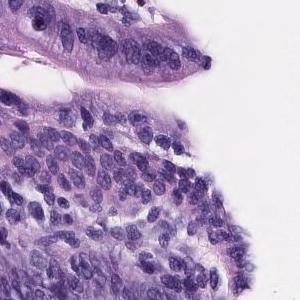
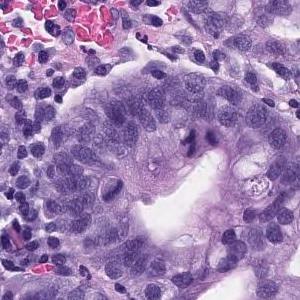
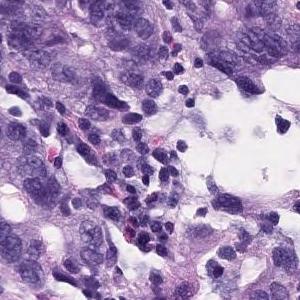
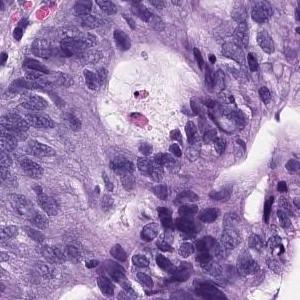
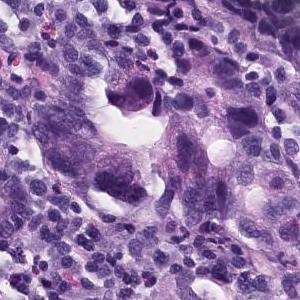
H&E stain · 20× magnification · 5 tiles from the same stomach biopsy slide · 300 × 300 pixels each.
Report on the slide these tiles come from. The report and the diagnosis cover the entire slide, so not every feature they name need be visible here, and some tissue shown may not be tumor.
In the superficial epithelium, tumor tissue that invades by forming medium-sized to small, irregular ducts is observed. Moderately differentiated adenocarcinoma.
Histological subtype: Moderately differentiated tubular adenocarcinoma.
